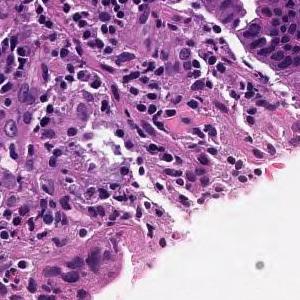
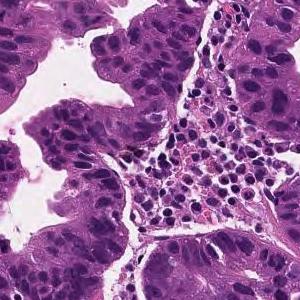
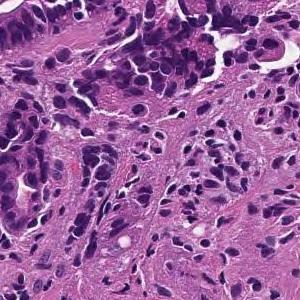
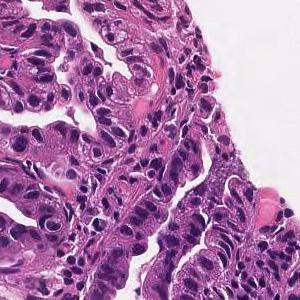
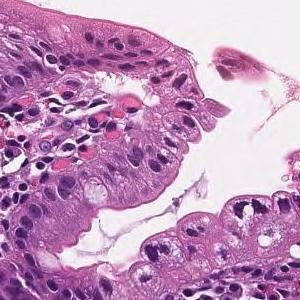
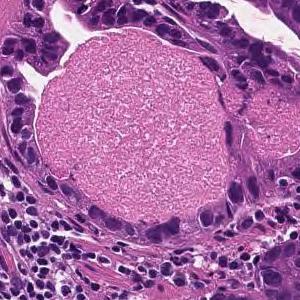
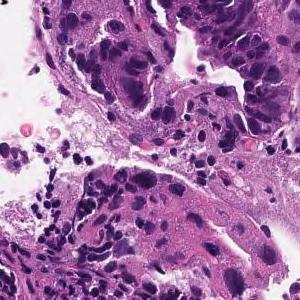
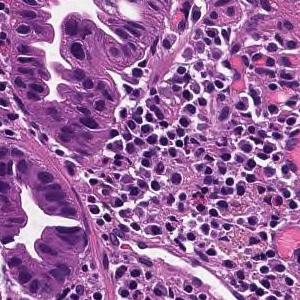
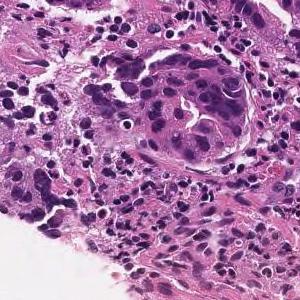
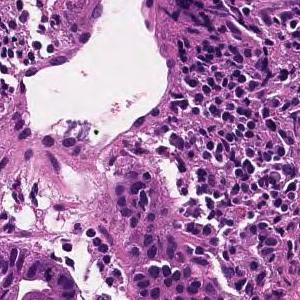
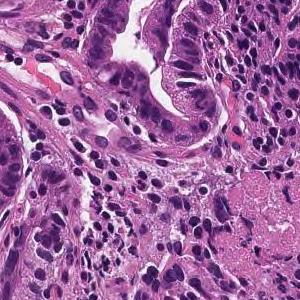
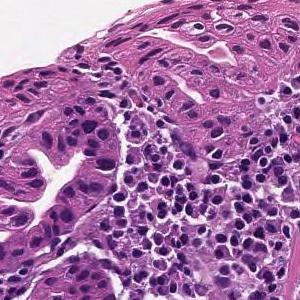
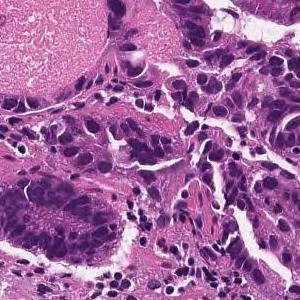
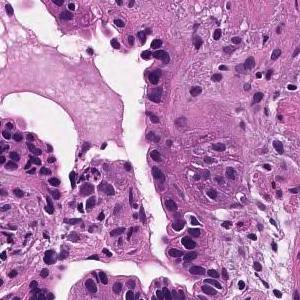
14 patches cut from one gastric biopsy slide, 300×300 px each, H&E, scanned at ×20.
The pathologist's report on the biopsy slide these tiles were taken from. The report and the diagnosis cover the entire slide, so not every feature they name need be visible here, and some tissue shown may not be tumor.
From the superficial epithelium to the muscularis mucosae, tumor tissue consisting of medium-sized and irregular glandular ducts infiltrating is observed. Well differentiated tubular adenocarcinoma
